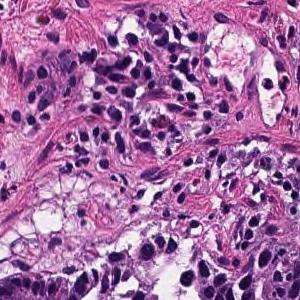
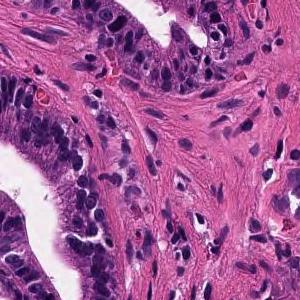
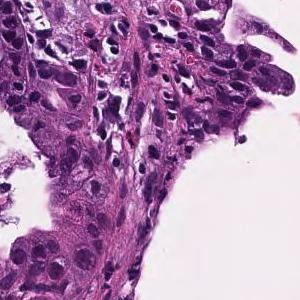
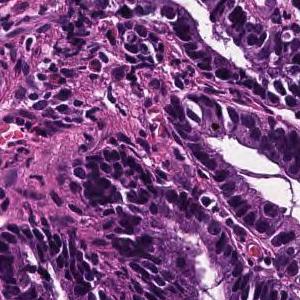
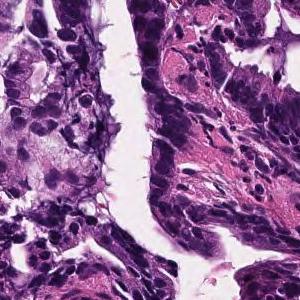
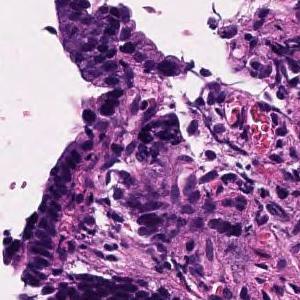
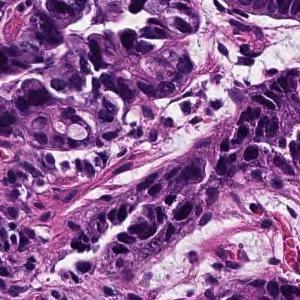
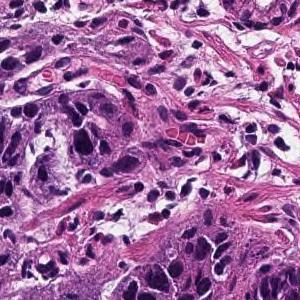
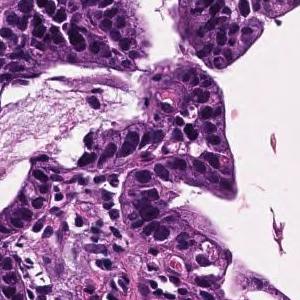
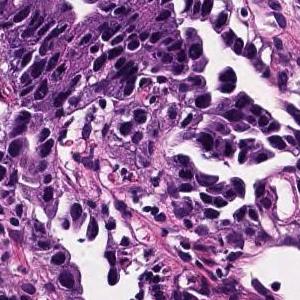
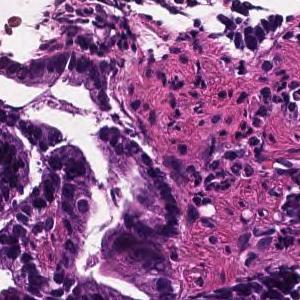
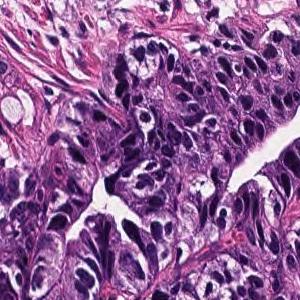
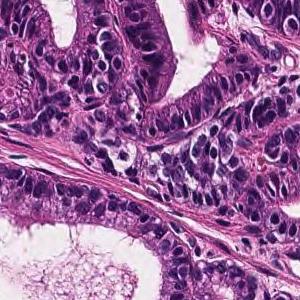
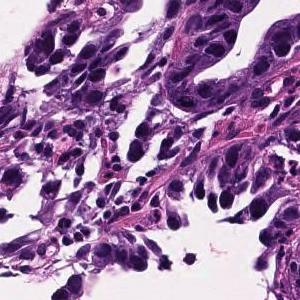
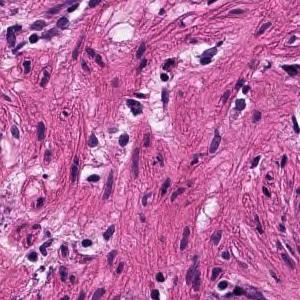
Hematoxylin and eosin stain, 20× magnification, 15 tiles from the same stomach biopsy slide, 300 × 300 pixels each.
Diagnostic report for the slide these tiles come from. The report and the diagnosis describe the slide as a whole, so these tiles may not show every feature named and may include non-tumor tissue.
Tumor cells are large, highly columnar, large club-shaped nuclei, and are associated with chromatin aggregation. Papillary adenocarcinoma.
